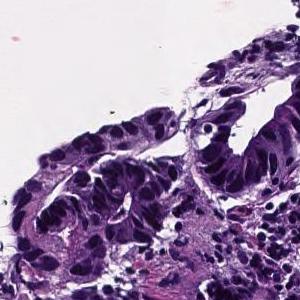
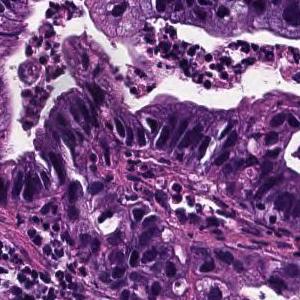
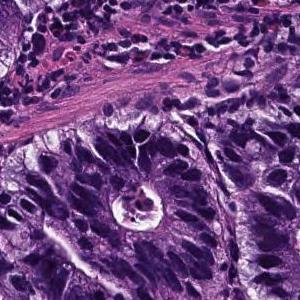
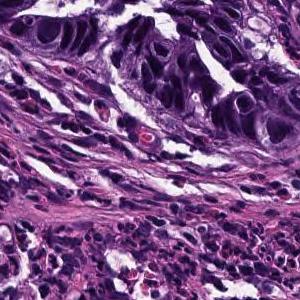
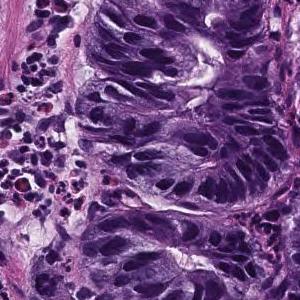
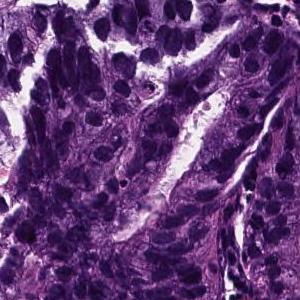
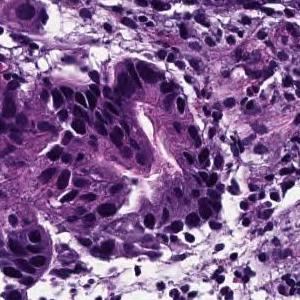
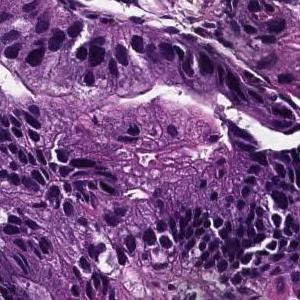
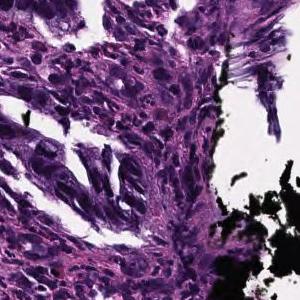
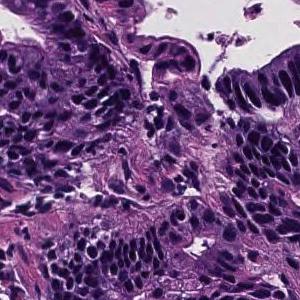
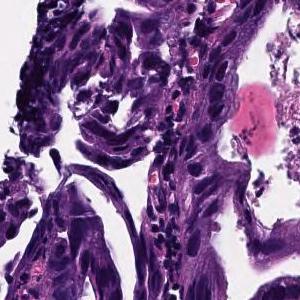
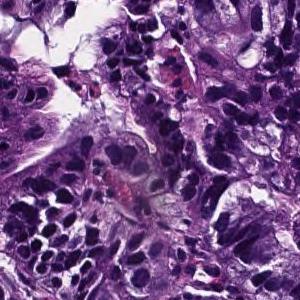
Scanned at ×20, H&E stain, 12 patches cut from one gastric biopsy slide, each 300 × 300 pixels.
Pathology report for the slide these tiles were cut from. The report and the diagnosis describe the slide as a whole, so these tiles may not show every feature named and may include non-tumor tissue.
In the superficial epithelium, tumor tissue that invades by forming medium-sized to small, irregular ducts is observed. Moderately differentiated adenocarcinoma.
Subtype: Moderately differentiated tubular adenocarcinoma.
